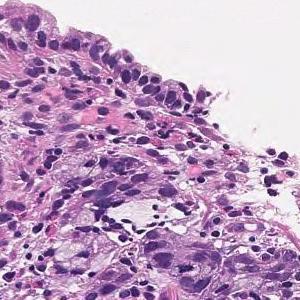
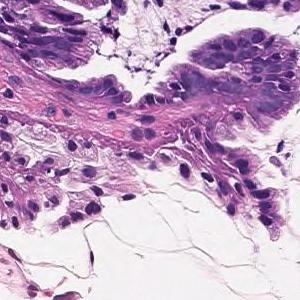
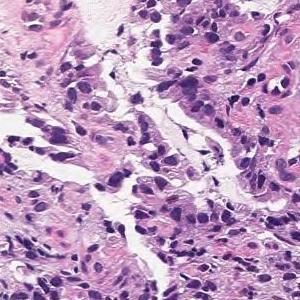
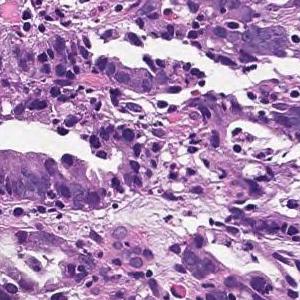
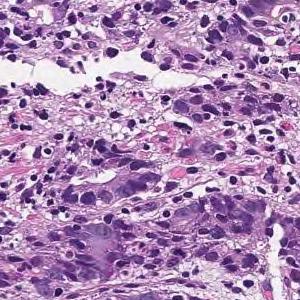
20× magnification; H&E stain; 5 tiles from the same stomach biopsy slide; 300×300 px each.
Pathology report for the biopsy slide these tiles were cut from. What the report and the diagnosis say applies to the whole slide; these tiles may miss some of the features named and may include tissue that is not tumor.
Tumor tissue consisting of cord-like or small, irregular glandular ducts fused and infiltrated is observed in the superficial epithelium. Poorly differentiated adenocarcinoma, non-solid type
"Non-solid type" is a category of the Japanese Classification of Gastric Carcinoma.
